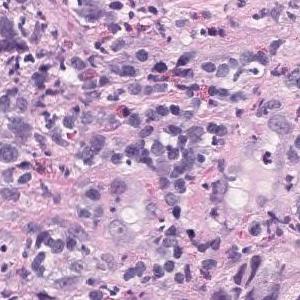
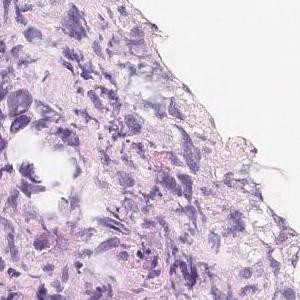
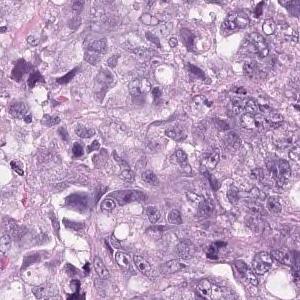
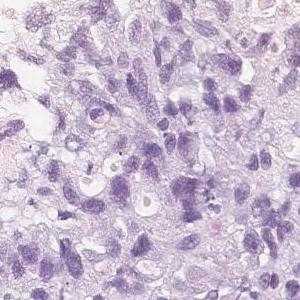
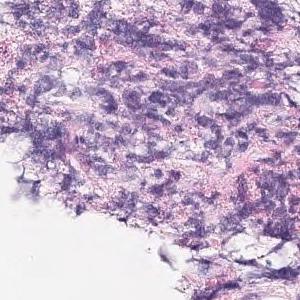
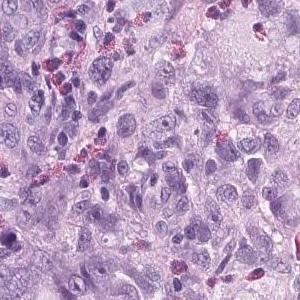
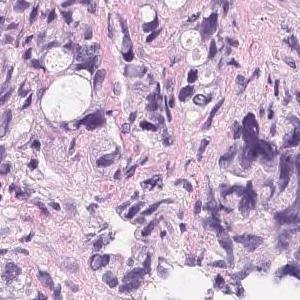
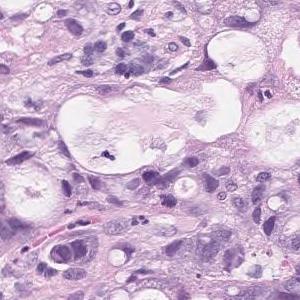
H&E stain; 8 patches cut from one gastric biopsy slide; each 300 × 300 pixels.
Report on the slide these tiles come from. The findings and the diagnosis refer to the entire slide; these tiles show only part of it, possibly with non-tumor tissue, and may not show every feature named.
Tumor tissue that infiltrates and proliferates by forming small glandular cavities in the superficial layer to the submucosa or forming a mass is observed. moderately differentiated tubular adenocarcinoma
